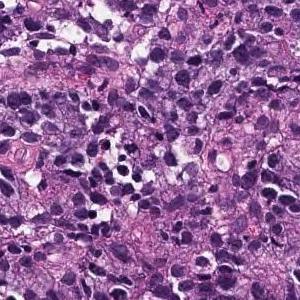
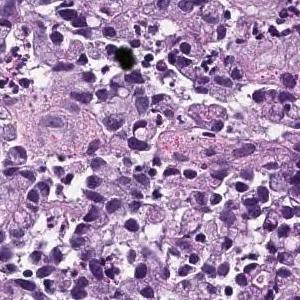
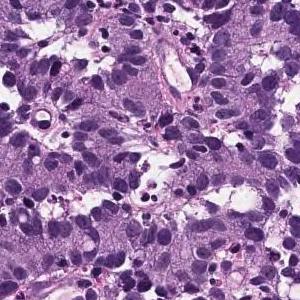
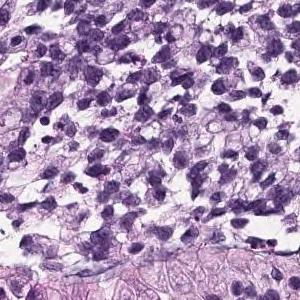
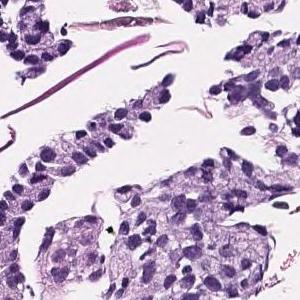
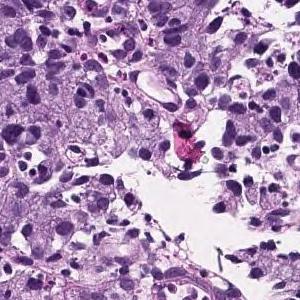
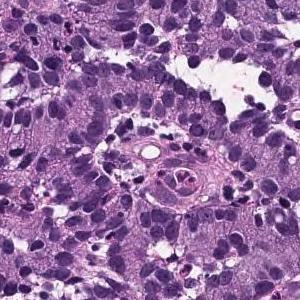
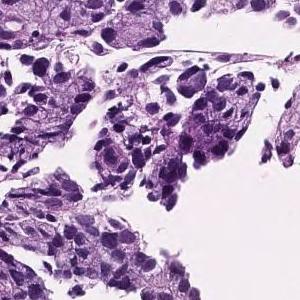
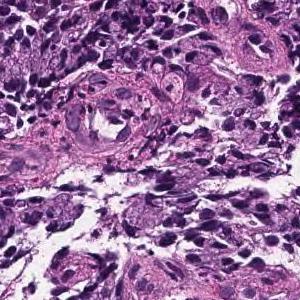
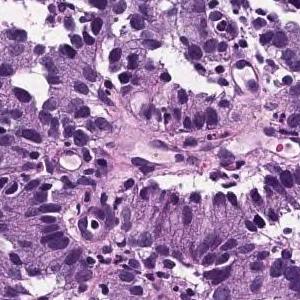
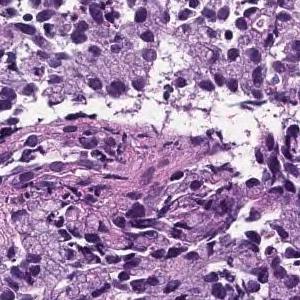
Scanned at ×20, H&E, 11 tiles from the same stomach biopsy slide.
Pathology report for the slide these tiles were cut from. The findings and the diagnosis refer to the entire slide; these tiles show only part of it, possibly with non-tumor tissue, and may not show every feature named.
Tumor tissue infiltrated by irregular fusion of small cord-like structures is found in the superficial epithelium. Poorly differentiated adenocarcinoma, non-solid type
The term "non-solid type" comes from the Japanese Classification of Gastric Carcinoma.
